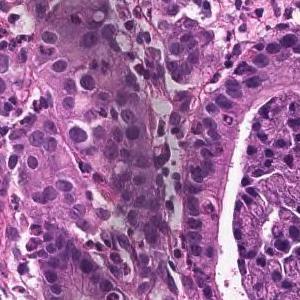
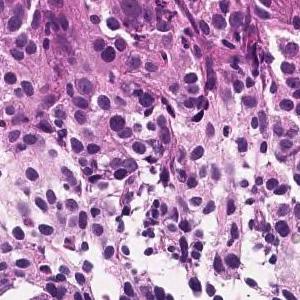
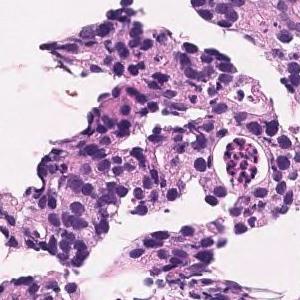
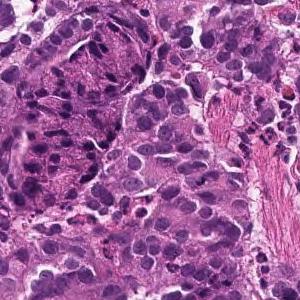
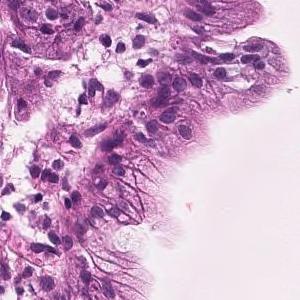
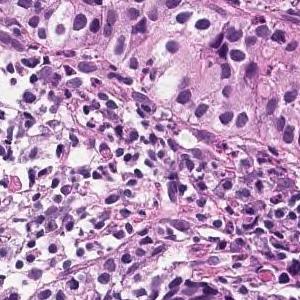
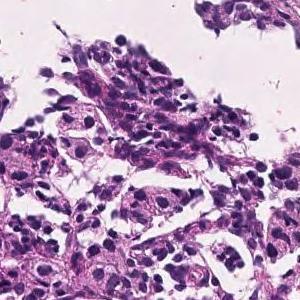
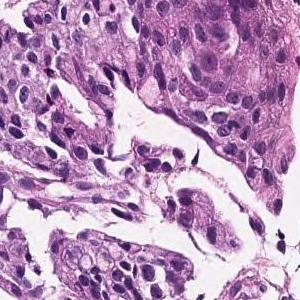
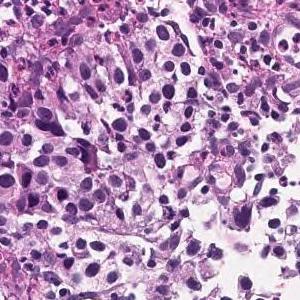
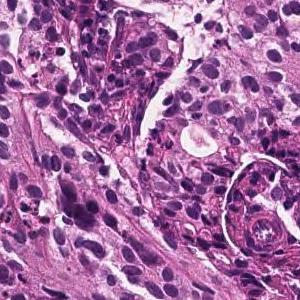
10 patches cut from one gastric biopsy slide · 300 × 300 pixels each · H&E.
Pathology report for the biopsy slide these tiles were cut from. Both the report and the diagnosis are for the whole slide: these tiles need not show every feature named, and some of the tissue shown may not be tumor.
Medium to small, irregular glandular ducts are formed in the superficial epithelium, and in some cases, the glandular ducts are fused to show solid alveolar lesions and infiltrating tumor tissue is observed. Moderately to poorly differentiated adenocarcinoma.
